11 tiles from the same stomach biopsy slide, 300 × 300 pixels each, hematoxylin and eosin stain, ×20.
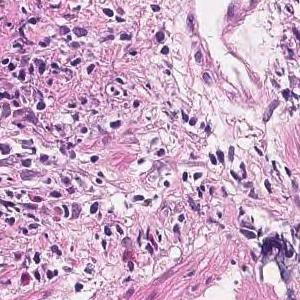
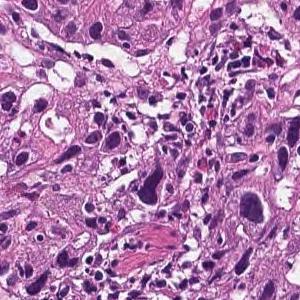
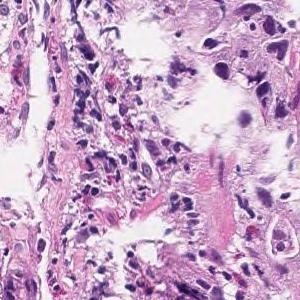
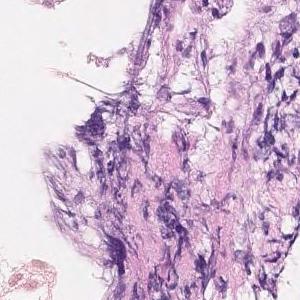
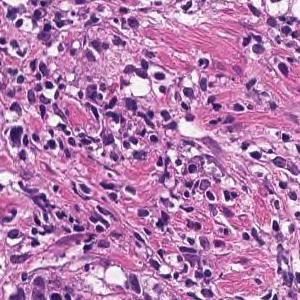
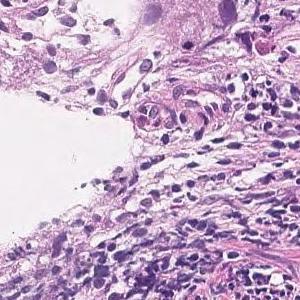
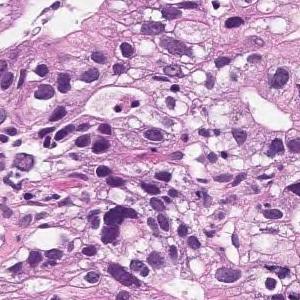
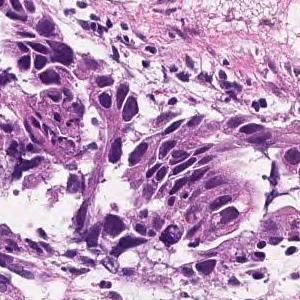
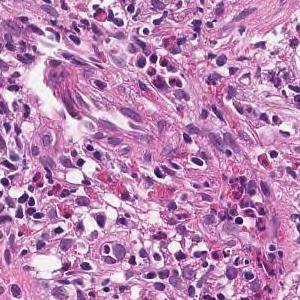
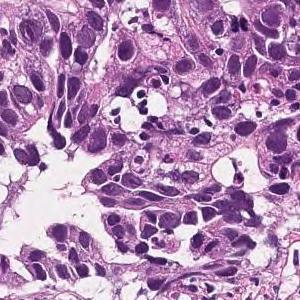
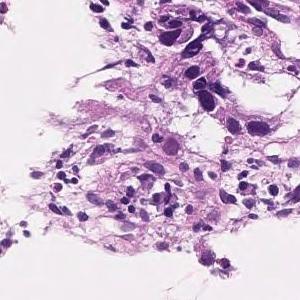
Pathology report for the biopsy slide these tiles were cut from. What the report and the diagnosis say applies to the whole slide; these tiles may miss some of the features named and may include tissue that is not tumor.
In the superficial epithelium, tumor tissue that invades by forming medium-sized to small, irregular ducts is observed. moderately differentiated tubular adenocarcinoma.
